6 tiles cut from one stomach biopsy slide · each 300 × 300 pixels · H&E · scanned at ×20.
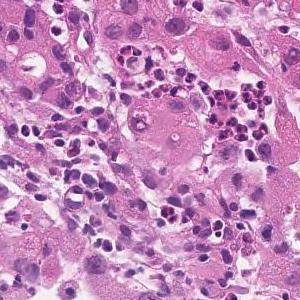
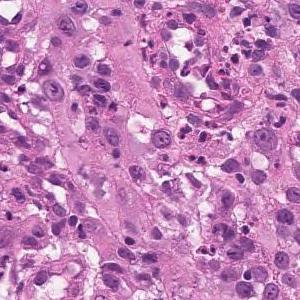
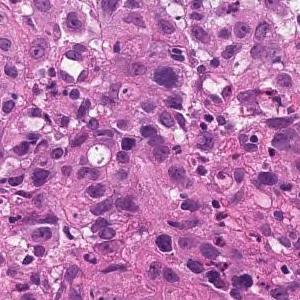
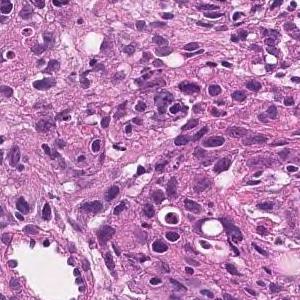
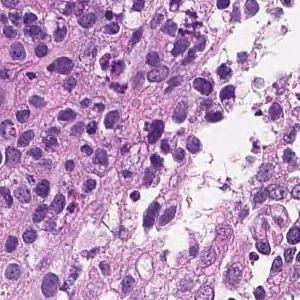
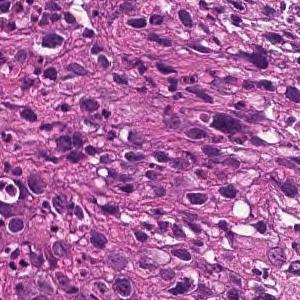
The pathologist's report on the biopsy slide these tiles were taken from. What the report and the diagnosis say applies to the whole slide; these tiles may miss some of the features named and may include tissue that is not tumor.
The superficial epithelium shows a large sheet-like shape, and some tumor tissue infiltrates with small irregular ducts. Poorly differentiated adenocarcinoma, solid-type
Histologic type: Poorly differentiated adenocarcinoma, solid type (Japanese Classification of Gastric Carcinoma). The WHO 2019 equivalent is tubular adenocarcinoma, poorly differentiated.
